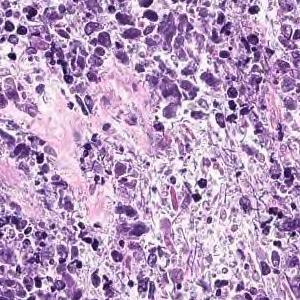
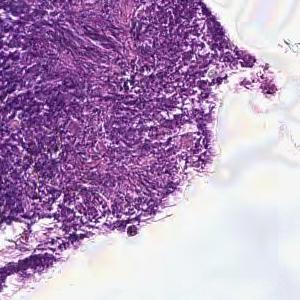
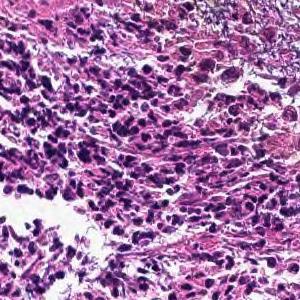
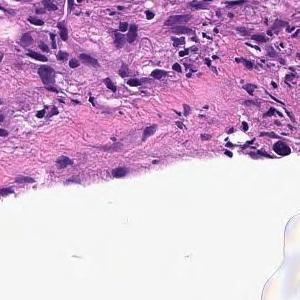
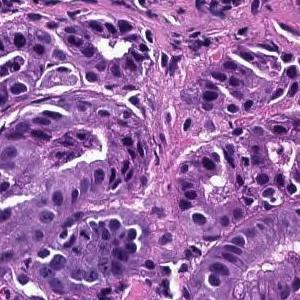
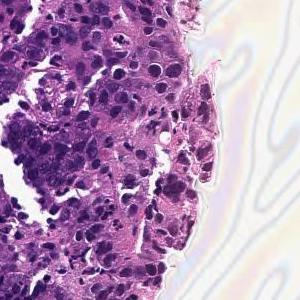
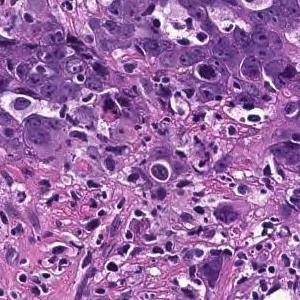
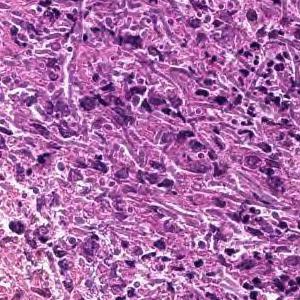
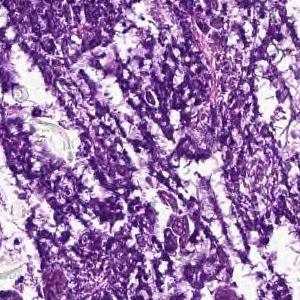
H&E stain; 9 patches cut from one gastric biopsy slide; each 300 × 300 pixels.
Report on the slide these tiles come from. The report describes the whole slide, diagnosis included: not every finding it names need appear in these tiles, which may also show non-tumor tissue.
Cancers with polygonal nuclei do not show glandular formation and are densely, in part, cord-like and proliferate. Poorly differentiated adenocarcinoma
Histological subtype: Poorly differentiated adenocarcinoma, non-solid type.
"Non-solid type" is a category of the Japanese Classification of Gastric Carcinoma.
